H&E · ×20 · 9 patches cut from one gastric biopsy slide · 300×300 px each.
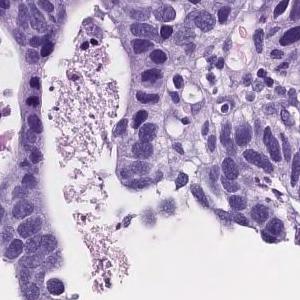
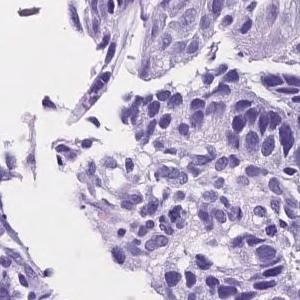
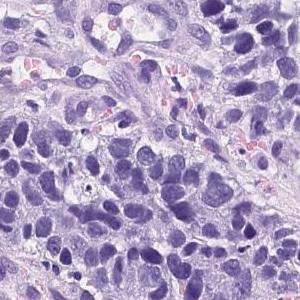
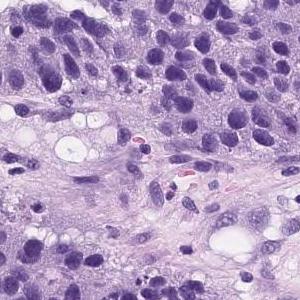
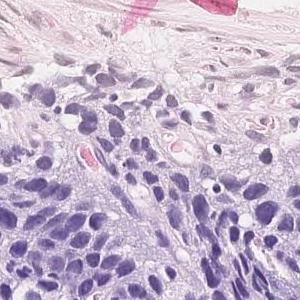
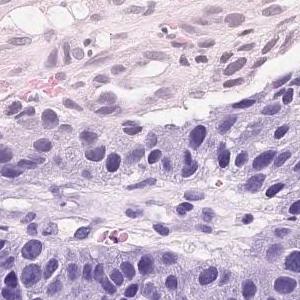
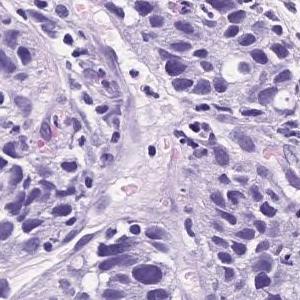
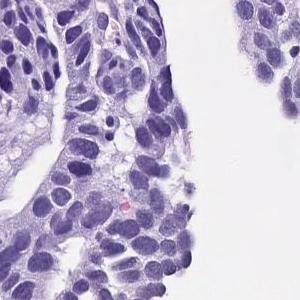
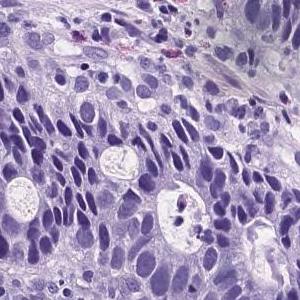
Diagnostic report for the slide these tiles come from. Both the report and the diagnosis are for the whole slide: these tiles need not show every feature named, and some of the tissue shown may not be tumor.
Atypical cells with atypical nuclei forming small irregular atypical ducts and growing in a conformative manner. moderately differentiated tubular adenocarcinoma
Labeled in the dataset as moderately to poorly differentiated adenocarcinoma.
